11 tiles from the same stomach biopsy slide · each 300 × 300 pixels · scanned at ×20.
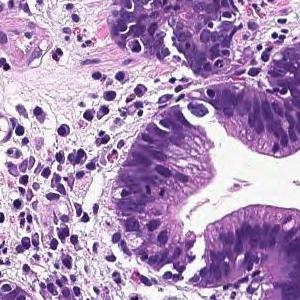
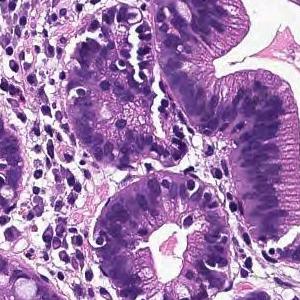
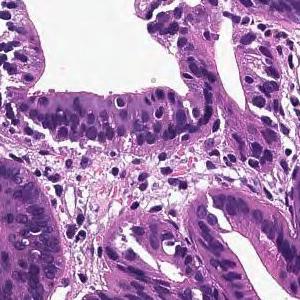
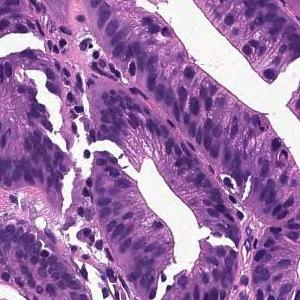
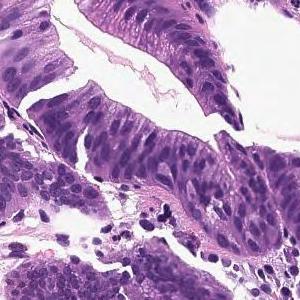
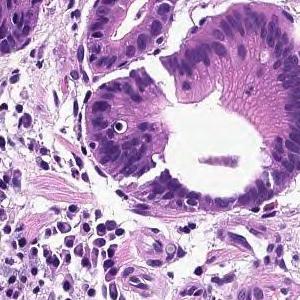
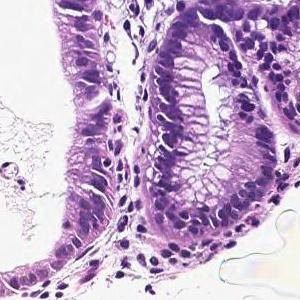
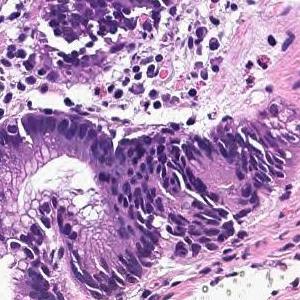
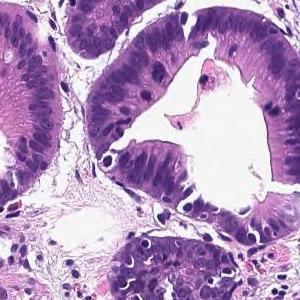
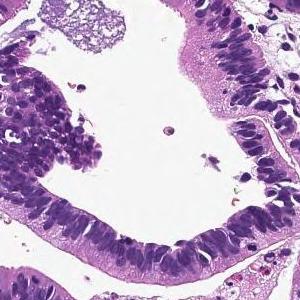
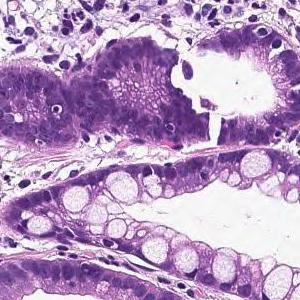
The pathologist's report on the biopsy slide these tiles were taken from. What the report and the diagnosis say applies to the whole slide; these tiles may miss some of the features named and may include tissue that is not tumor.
Infiltrating tumor tissue is observed in the superficial epithelium, showing large papillary structures or large and small ducts. Papillary adenocarcinoma
